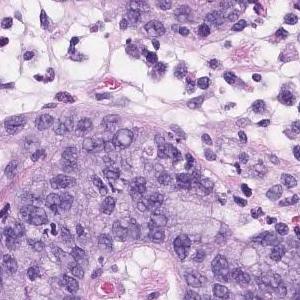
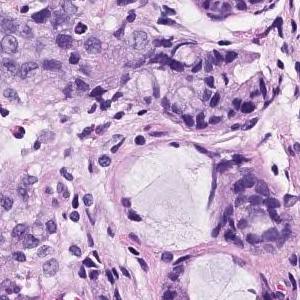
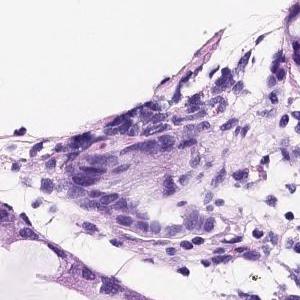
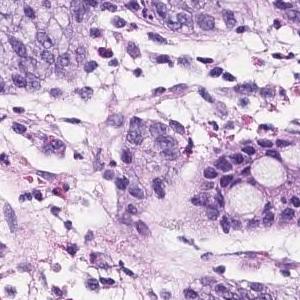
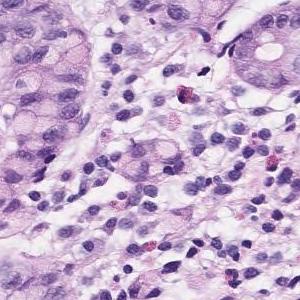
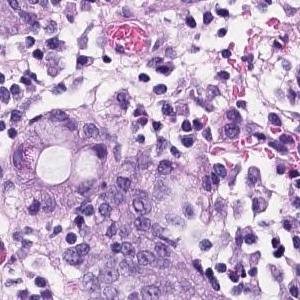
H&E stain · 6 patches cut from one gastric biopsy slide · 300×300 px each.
Pathology report for the biopsy slide these tiles were cut from. The report and the diagnosis cover the entire slide, so not every feature they name need be visible here, and some tissue shown may not be tumor.
Atypical l cells with atypical nuclei forming diffuse or small irregular atypical ducts and growing. Moderately to poorly differentiated adenocarcinoma (poorly differentiated adenocarcinoma, solid type moderately differentiated tubular adenocarcinoma)
Subtype: Moderately to poorly differentiated adenocarcinoma.
"Solid type" is a category of the Japanese Classification of Gastric Carcinoma; in the WHO 2019 classification it is tubular adenocarcinoma, poorly differentiated.
